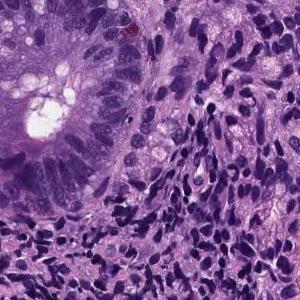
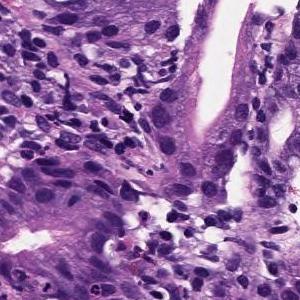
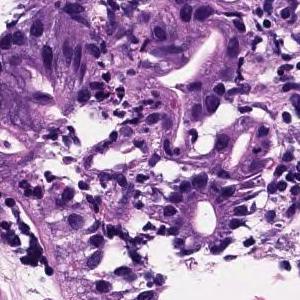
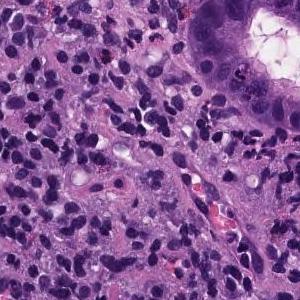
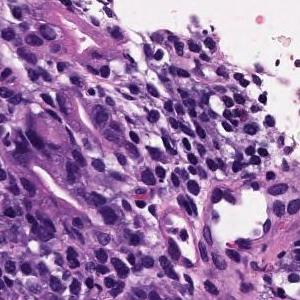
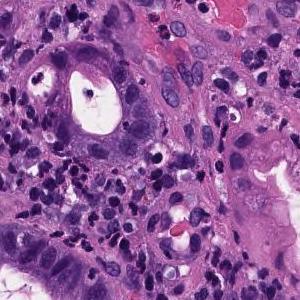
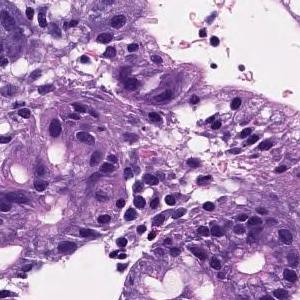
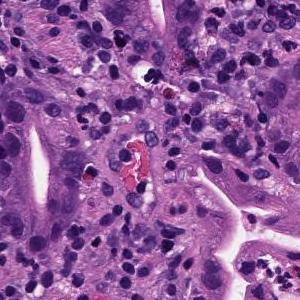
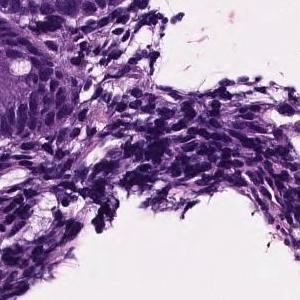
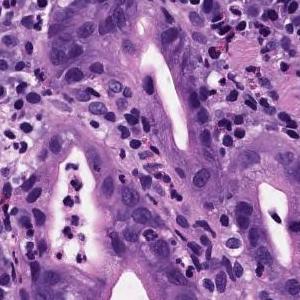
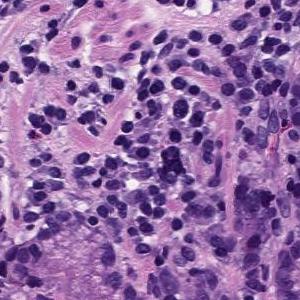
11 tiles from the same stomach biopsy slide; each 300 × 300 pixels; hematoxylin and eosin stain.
Diagnostic report for the slide these tiles come from. The report and the diagnosis describe the slide as a whole, so these tiles may not show every feature named and may include non-tumor tissue.
Medium to small, irregular glandular ducts are formed in the superficial epithelium, and in some cases, the glandular ducts are fused to show solid alveolar lesions and infiltrating tumor tissue is observed. Moderately to poorly differentiated adenocarcinoma.
